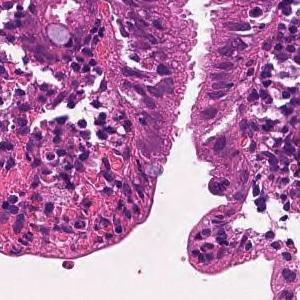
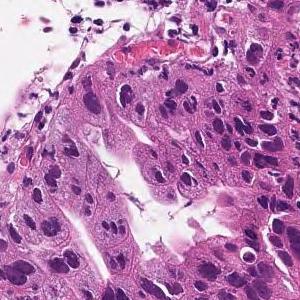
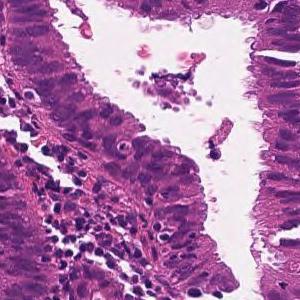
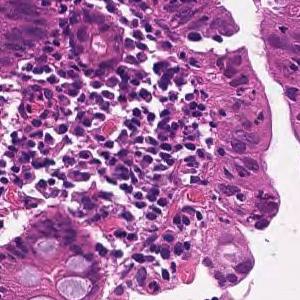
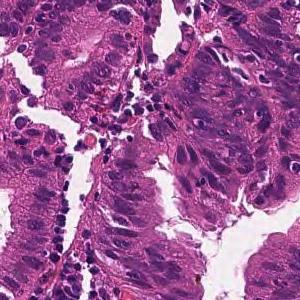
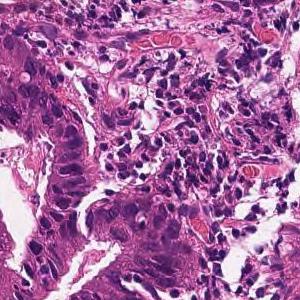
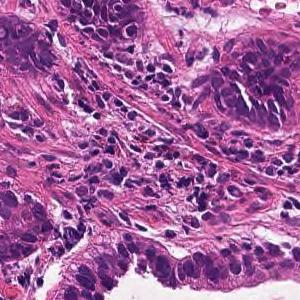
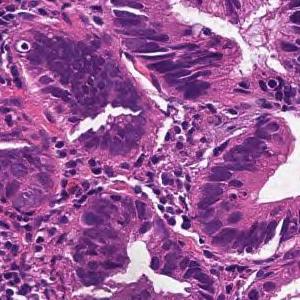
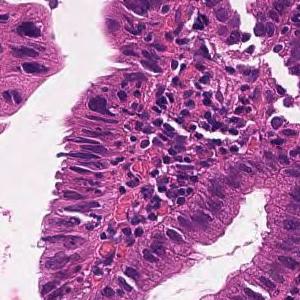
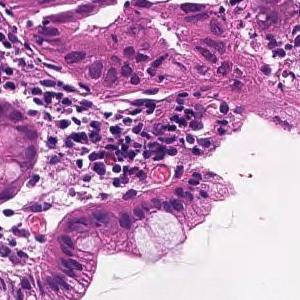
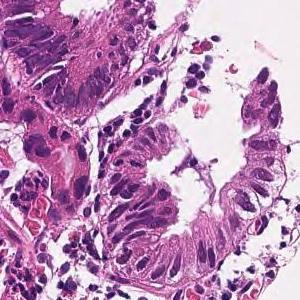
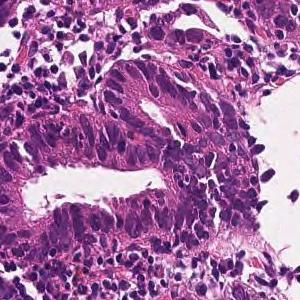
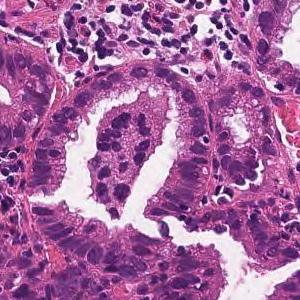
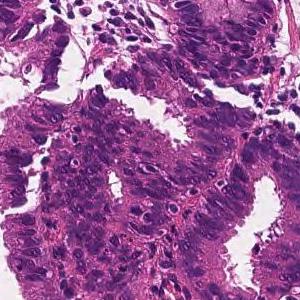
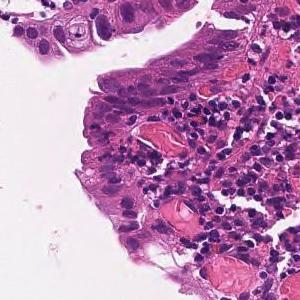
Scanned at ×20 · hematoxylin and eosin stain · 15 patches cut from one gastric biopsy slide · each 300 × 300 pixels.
Diagnostic report for the slide these tiles come from. The report and the diagnosis describe the slide as a whole, so these tiles may not show every feature named and may include non-tumor tissue.
From the superficial epithelium to the muscularis mucosae, tumor tissue infiltrating by forming medium-sized irregular gland ducts is observed. Large tumor cells exhibit large nucleus and hyperchromatism. Well differentiated tubular adenocarcinoma
